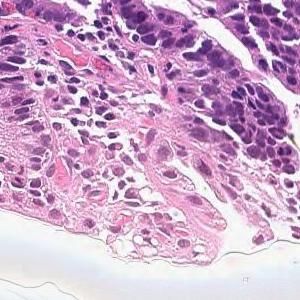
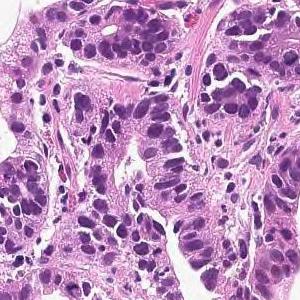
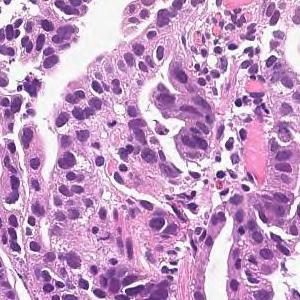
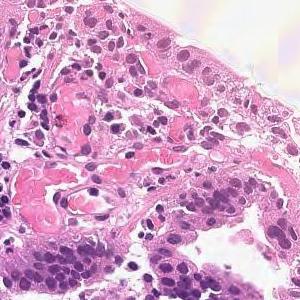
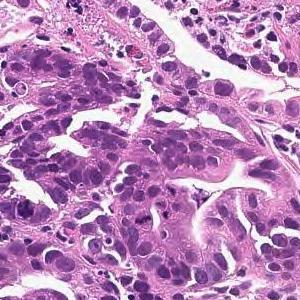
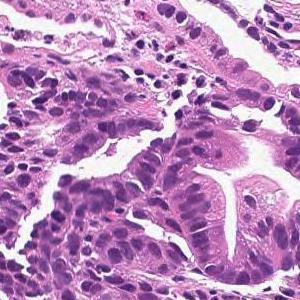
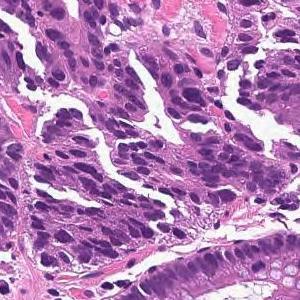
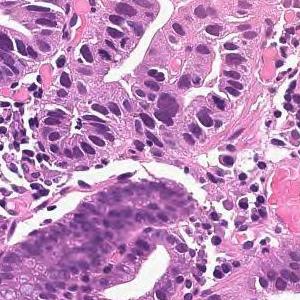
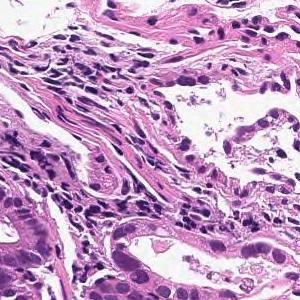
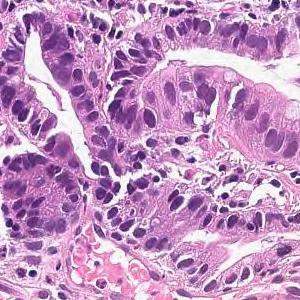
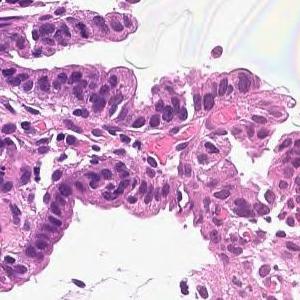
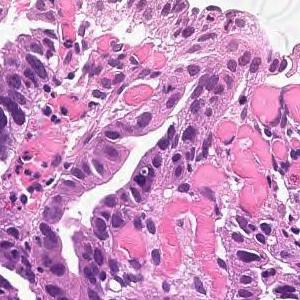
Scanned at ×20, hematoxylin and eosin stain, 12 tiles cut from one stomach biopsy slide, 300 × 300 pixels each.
Pathology report for the slide these tiles were cut from. The report describes the whole slide, diagnosis included: not every finding it names need appear in these tiles, which may also show non-tumor tissue.
From the superficial epithelium to the muscularis mucosae, tumor tissue consisting of medium-sized and irregular glandular ducts infiltrating is observed. Well differentiated tubular adenocarcinoma
